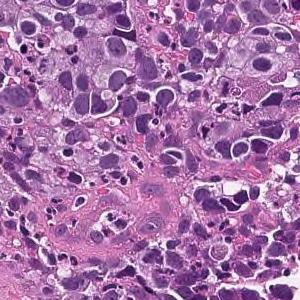
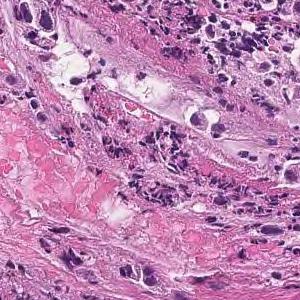
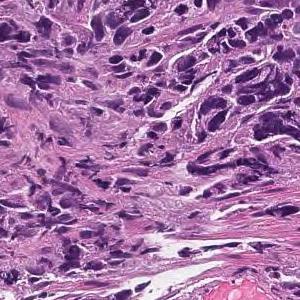
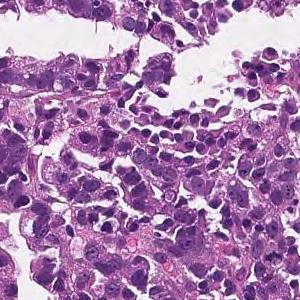
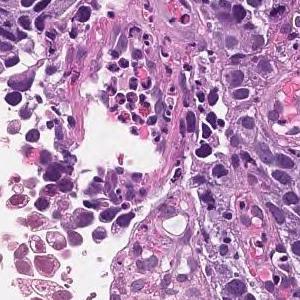
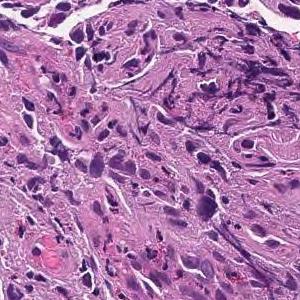
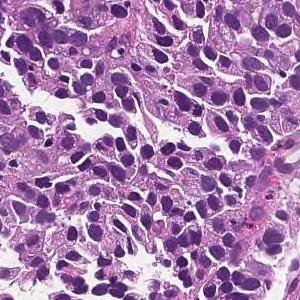
H&E, scanned at ×20, 7 image tiles from a single gastric biopsy slide, each 300 × 300 pixels.
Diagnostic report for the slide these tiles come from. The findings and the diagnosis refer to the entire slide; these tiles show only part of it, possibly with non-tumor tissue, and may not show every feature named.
The superficial epithelium shows a large sheet-like shape, and some tumor tissue infiltrates with small irregular ducts. Poorly differentiated adenocarcinoma, solid-type
Tumor subtype: poorly differentiated adenocarcinoma, solid type (Japanese Classification of Gastric Carcinoma). The WHO 2019 equivalent is tubular adenocarcinoma, poorly differentiated.
